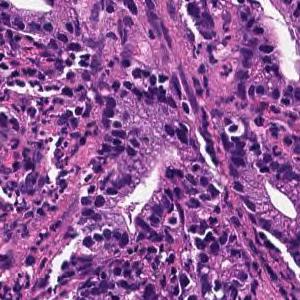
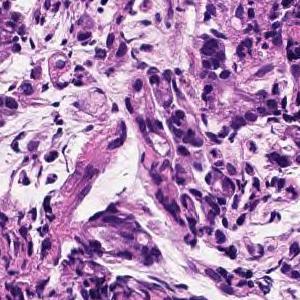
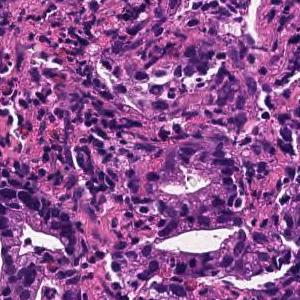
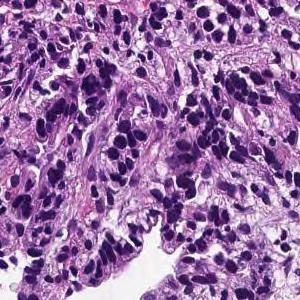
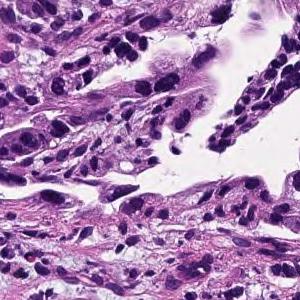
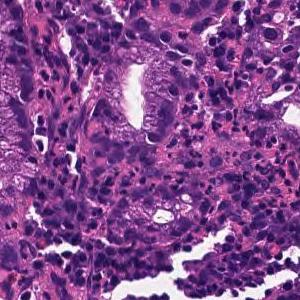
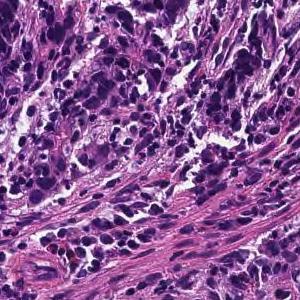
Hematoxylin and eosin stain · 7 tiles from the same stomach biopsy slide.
Diagnostic report for the slide these tiles come from. The report and the diagnosis describe the slide as a whole, so these tiles may not show every feature named and may include non-tumor tissue.
On the superficial epithelium, tumor tissue consisting of large, irregular glandular ducts partially fused and infiltrated is observed. Well to moderately differentiated tubular adenocarcinoma (well differentiated tubular adenocarcinoma, moderately differentiated tubular adenocarcinoma)
Histological subtype: Well to moderately differentiated tubular adenocarcinoma.
